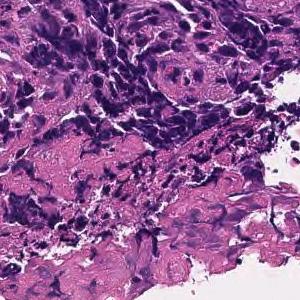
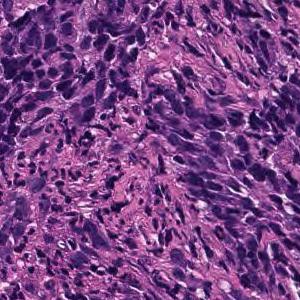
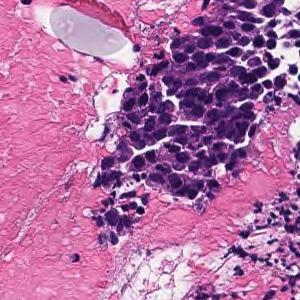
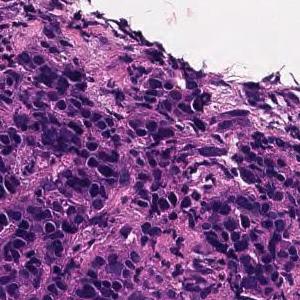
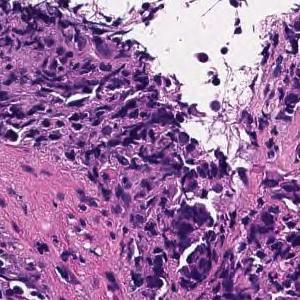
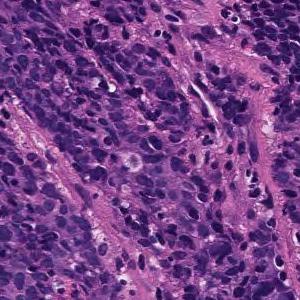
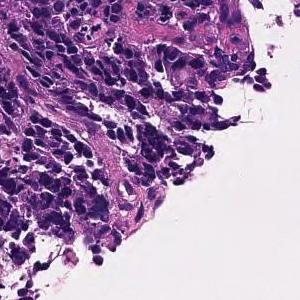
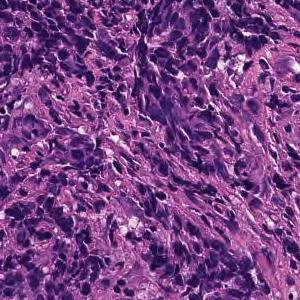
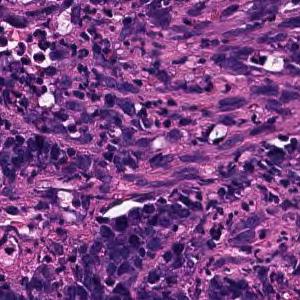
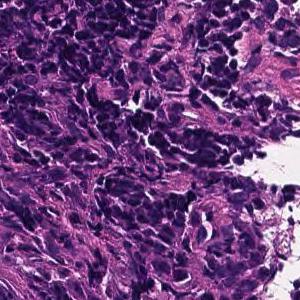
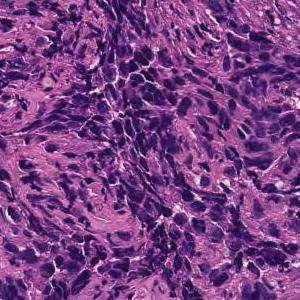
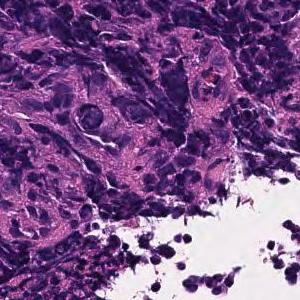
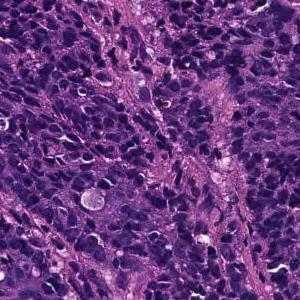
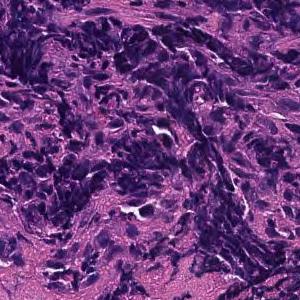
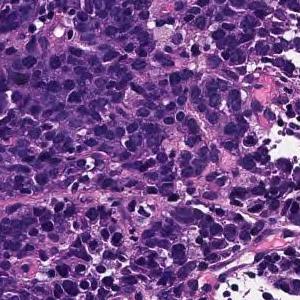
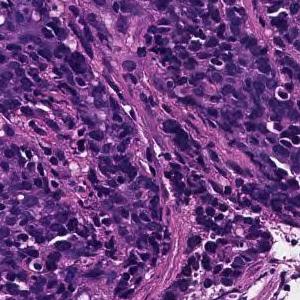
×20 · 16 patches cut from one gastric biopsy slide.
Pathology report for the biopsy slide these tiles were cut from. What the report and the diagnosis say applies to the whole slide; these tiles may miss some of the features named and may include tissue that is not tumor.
Tumor tissue consisting of cord-like or small, irregular glandular ducts fused and infiltrated is observed in the superficial epithelium. Poorly differentiated adenocarcinoma, non-solid type
The term "non-solid type" comes from the Japanese Classification of Gastric Carcinoma.
